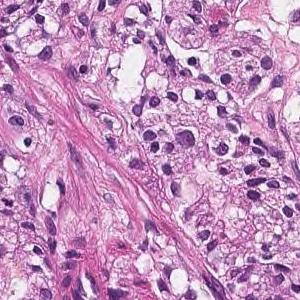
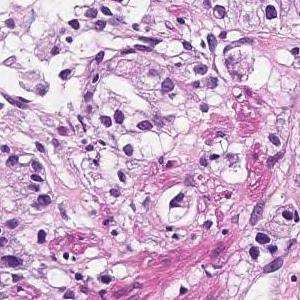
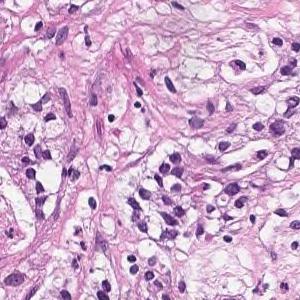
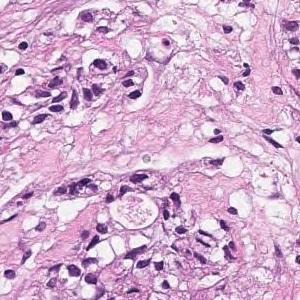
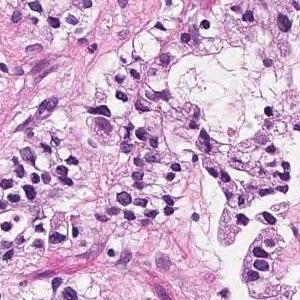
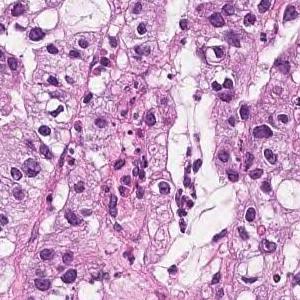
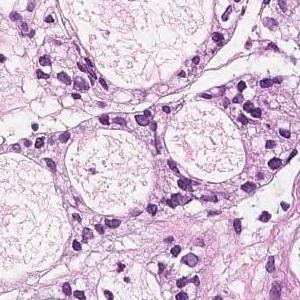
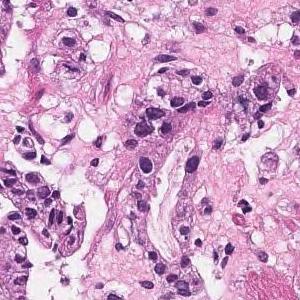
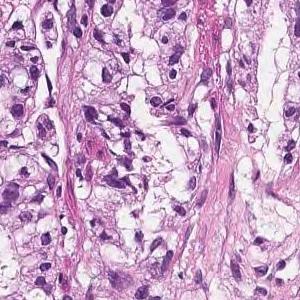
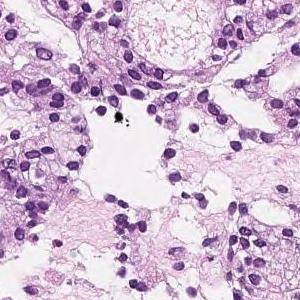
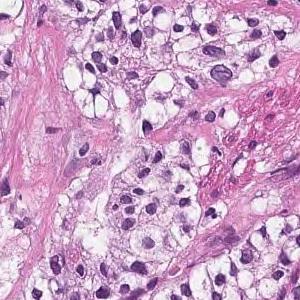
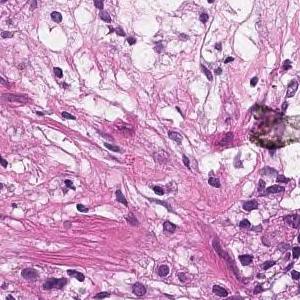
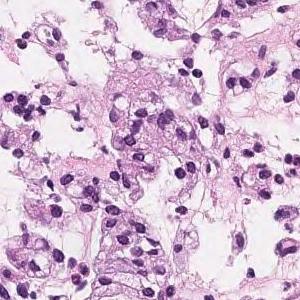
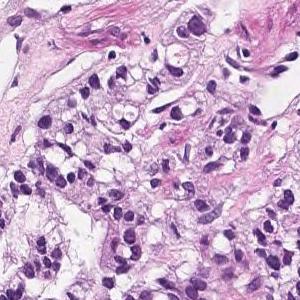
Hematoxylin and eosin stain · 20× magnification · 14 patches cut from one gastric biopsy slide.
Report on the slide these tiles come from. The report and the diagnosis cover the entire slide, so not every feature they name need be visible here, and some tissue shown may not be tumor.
In the superficial epithelium, tumor tissue that invades by forming medium-sized to small, irregular ducts is observed. moderately differentiated tubular adenocarcinoma.
